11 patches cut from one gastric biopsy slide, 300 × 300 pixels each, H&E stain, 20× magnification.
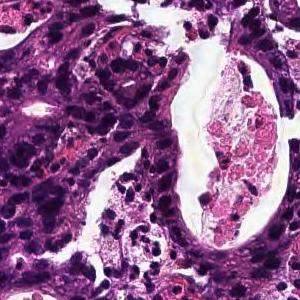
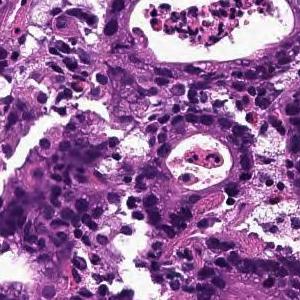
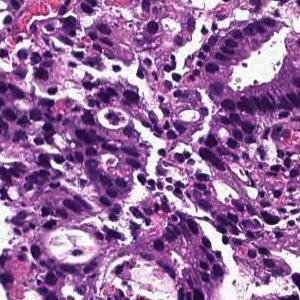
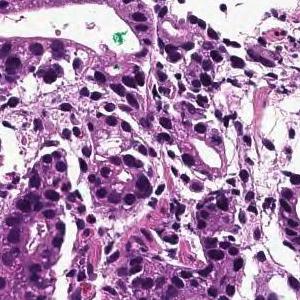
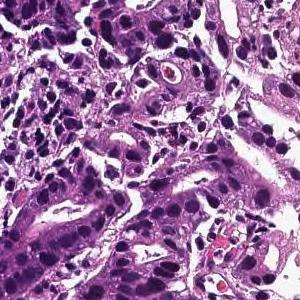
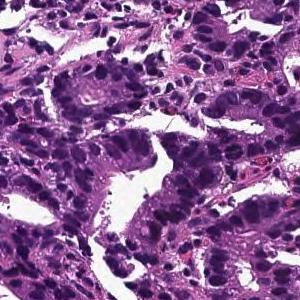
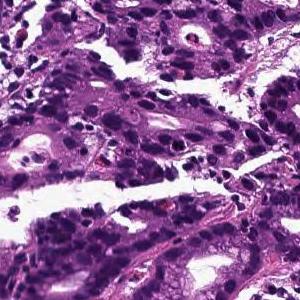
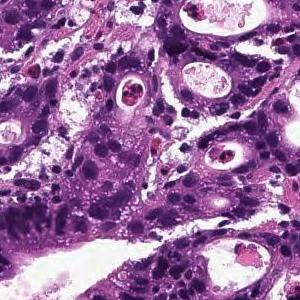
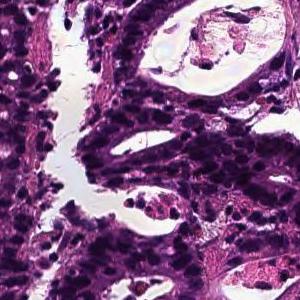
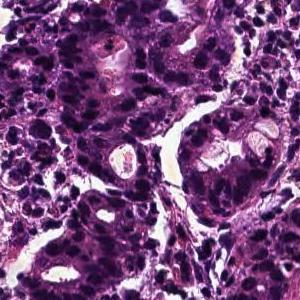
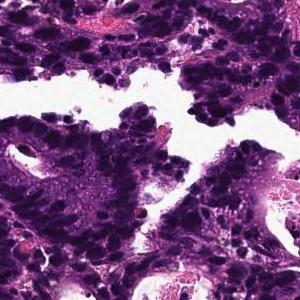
Pathology report for the biopsy slide these tiles were cut from. Both the report and the diagnosis are for the whole slide: these tiles need not show every feature named, and some of the tissue shown may not be tumor.
In the superficial epithelium, tumor tissue that invades by forming medium-sized to small, irregular ducts is observed. moderately differentiated tubular adenocarcinoma.
